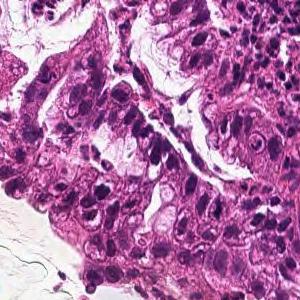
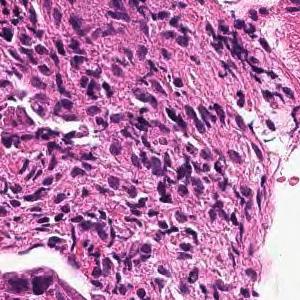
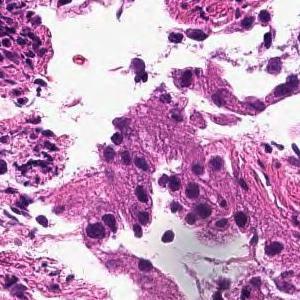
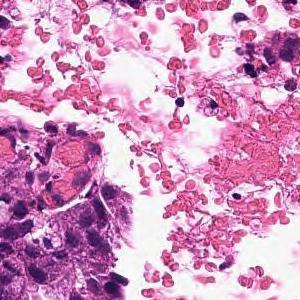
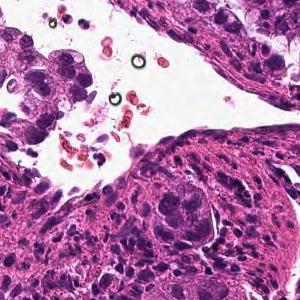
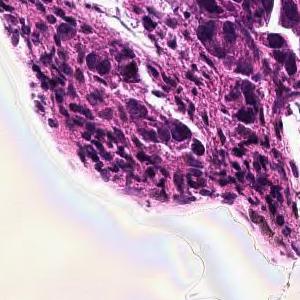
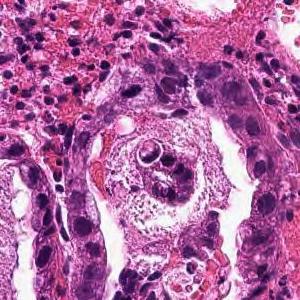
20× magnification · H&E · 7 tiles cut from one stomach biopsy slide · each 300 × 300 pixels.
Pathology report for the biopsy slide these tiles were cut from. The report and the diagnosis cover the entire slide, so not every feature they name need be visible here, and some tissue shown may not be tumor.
From the superficial epithelium to the muscularis mucosae, tumor tissue infiltrating by forming medium-sized irregular gland ducts is observed. Well differentiated tubular adenocarcinoma
